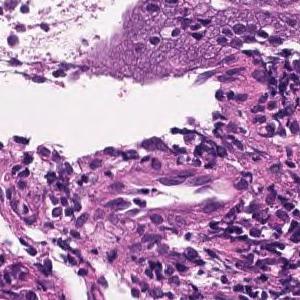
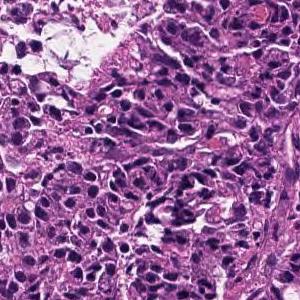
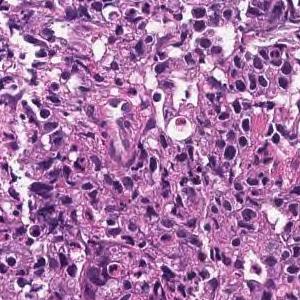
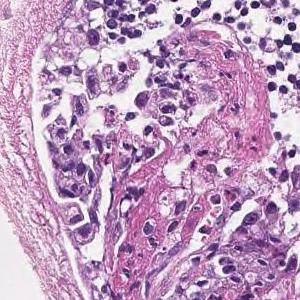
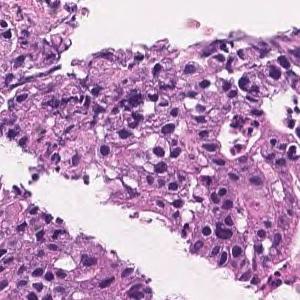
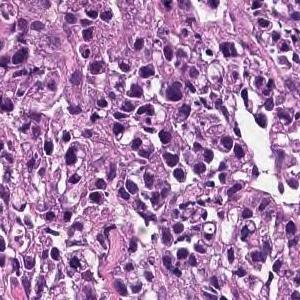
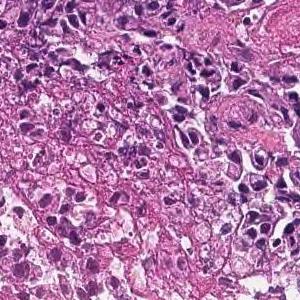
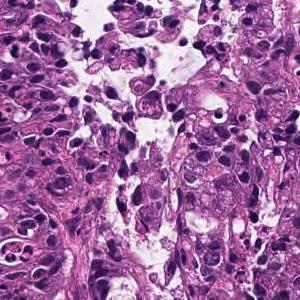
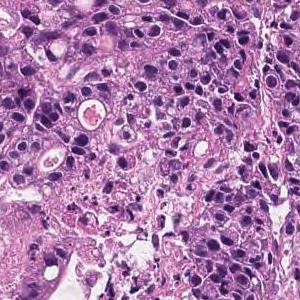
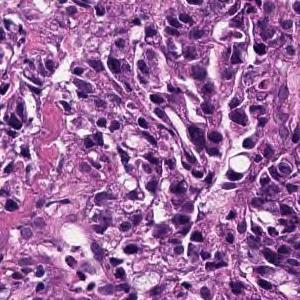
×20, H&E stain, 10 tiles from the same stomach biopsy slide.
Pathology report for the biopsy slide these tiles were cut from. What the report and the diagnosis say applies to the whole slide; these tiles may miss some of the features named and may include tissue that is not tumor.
Medium to small, irregular glandular ducts are formed in the superficial epithelium, and in some cases, the glandular ducts are fused to show solid alveolar lesions and infiltrating tumor tissue is observed. Moderately to poorly differentiated adenocarcinoma.
